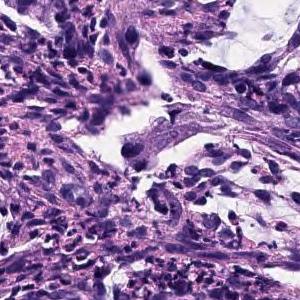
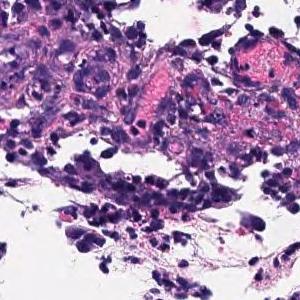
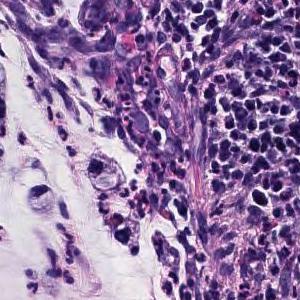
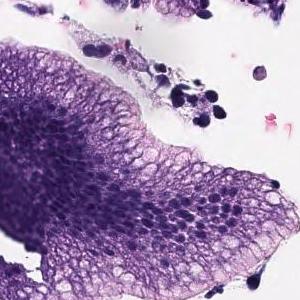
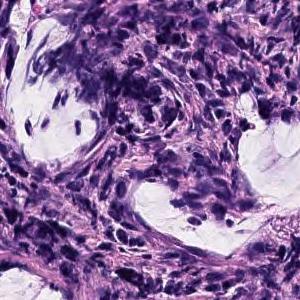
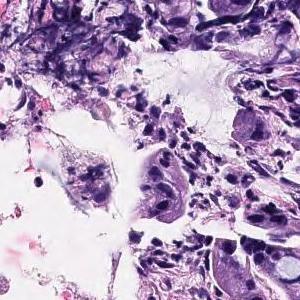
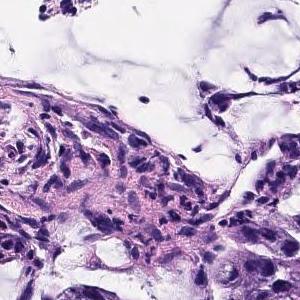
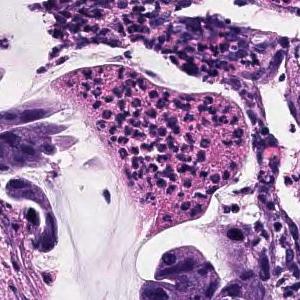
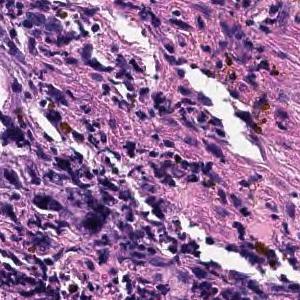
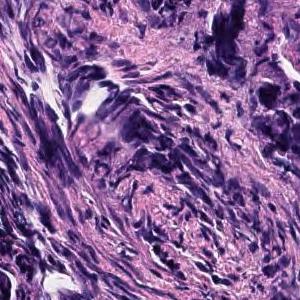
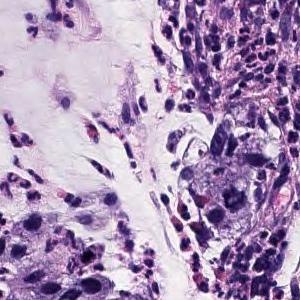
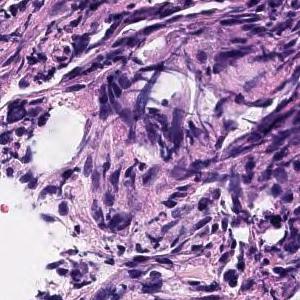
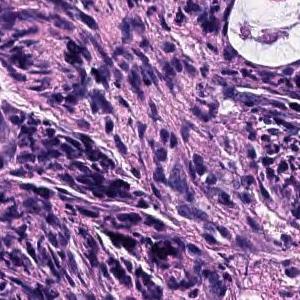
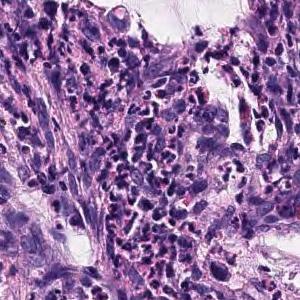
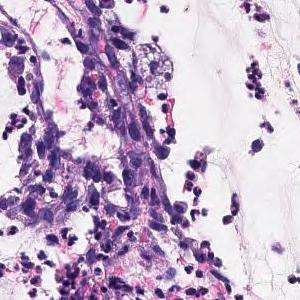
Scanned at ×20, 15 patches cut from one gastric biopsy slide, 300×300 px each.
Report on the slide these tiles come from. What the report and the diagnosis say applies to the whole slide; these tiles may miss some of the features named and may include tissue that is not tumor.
The superficial epithelium shows small cord-like infiltrating tumor tissue. Some part of neoplastic cells are signet ring cell type which show single invasion manner. Poorly differentiated adenocarcinoma, non-solid type.
"Non-solid type" is a category of the Japanese Classification of Gastric Carcinoma.
